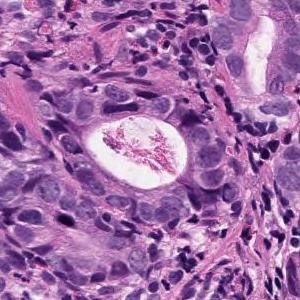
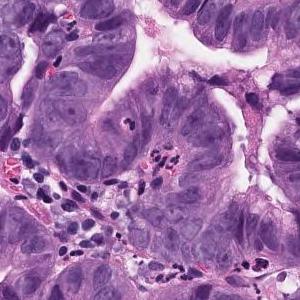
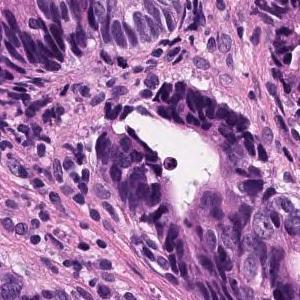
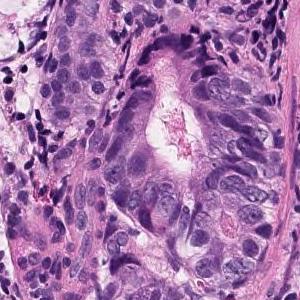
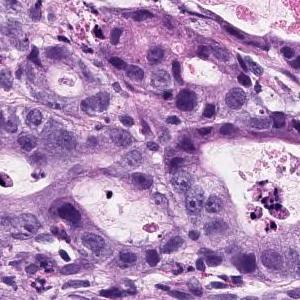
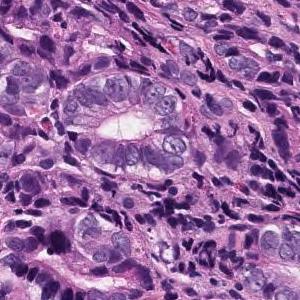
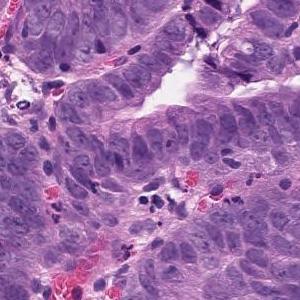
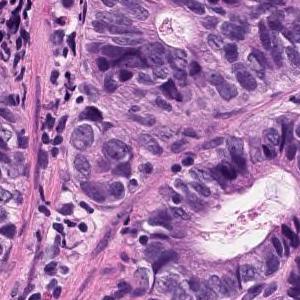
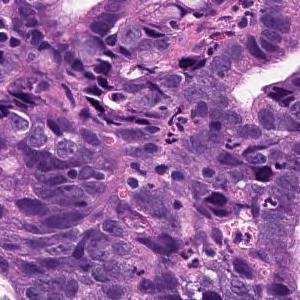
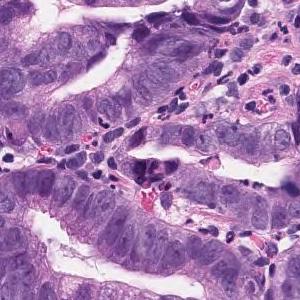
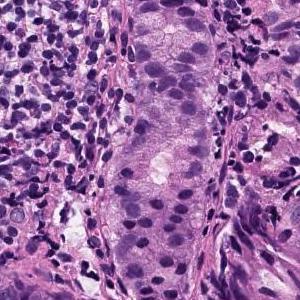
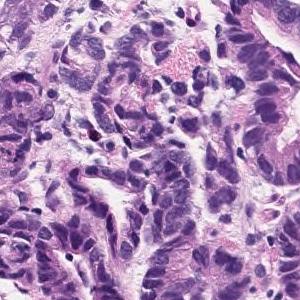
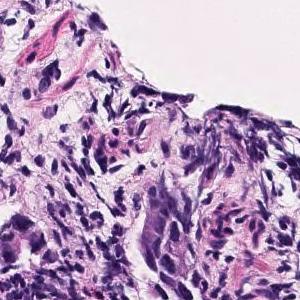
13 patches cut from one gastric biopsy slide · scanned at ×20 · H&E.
Report on the slide these tiles come from. The report and the diagnosis describe the slide as a whole, so these tiles may not show every feature named and may include non-tumor tissue.
The swollen atypical epithelium of the nucleus forms an irregular ductal structure and proliferates. moderately differentiated tubular adenocarcinoma
